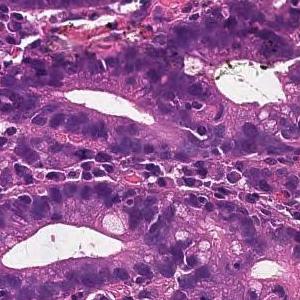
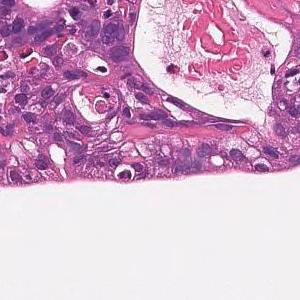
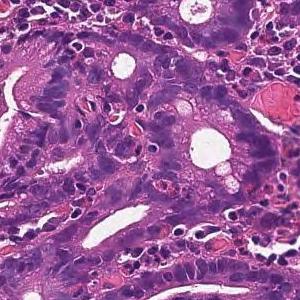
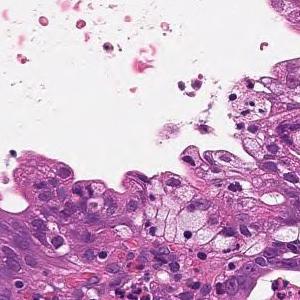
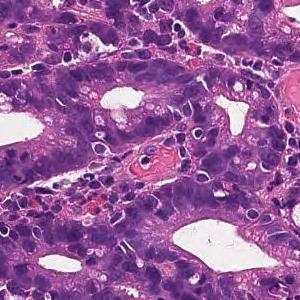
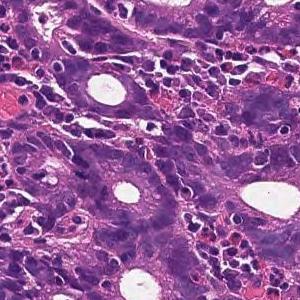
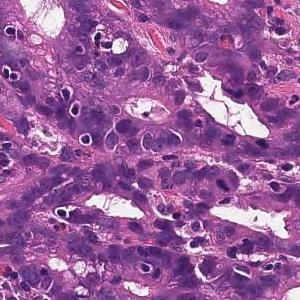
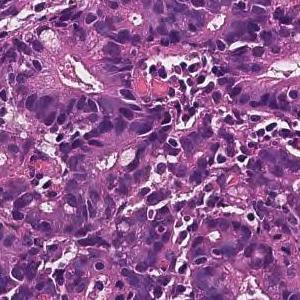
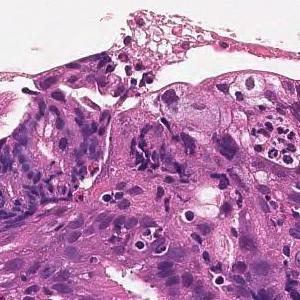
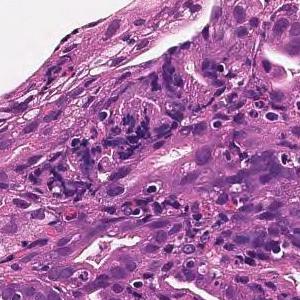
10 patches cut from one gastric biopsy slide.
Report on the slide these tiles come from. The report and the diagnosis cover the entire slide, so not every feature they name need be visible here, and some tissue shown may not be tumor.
From the superficial epithelium to the muscularis mucosae, tumor tissue consisting of medium-sized and irregular glandular ducts infiltrating is observed. Well differentiated tubular adenocarcinoma
